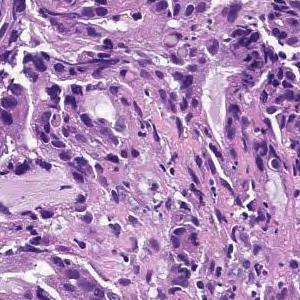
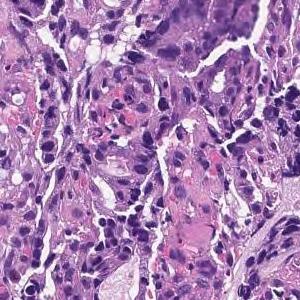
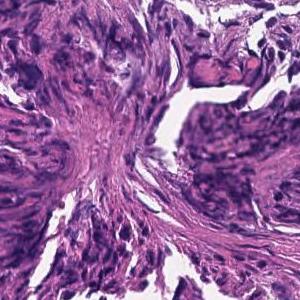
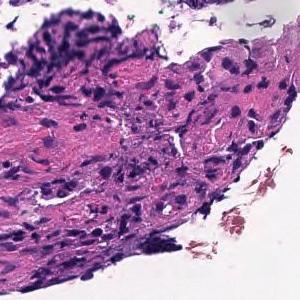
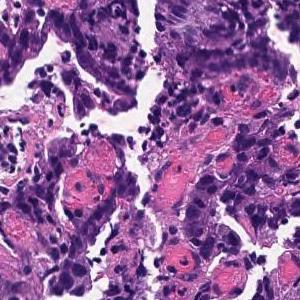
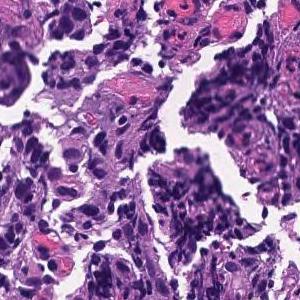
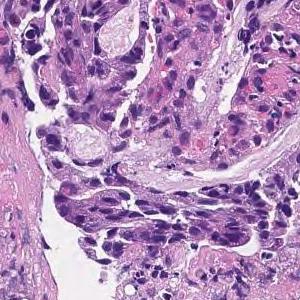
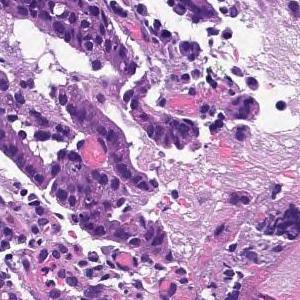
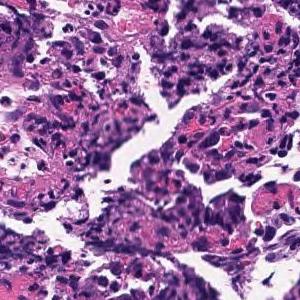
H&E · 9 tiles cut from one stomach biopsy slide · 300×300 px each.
Pathology report for the slide these tiles were cut from. What the report and the diagnosis say applies to the whole slide; these tiles may miss some of the features named and may include tissue that is not tumor.
On the superficial epithelium, tumor tissue consisting of large irregular glandular ducts partially fused and infiltrated is observed. Well to moderately differentiated tubular adenocarcinoma (well differentiated tubular adenocarcinoma, moderately differentiated tubular adenocarcinoma)
Histologic type: Well to moderately differentiated tubular adenocarcinoma.
